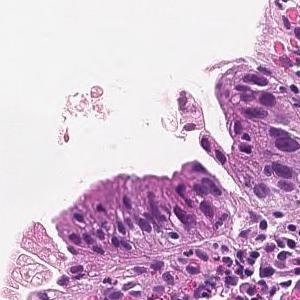
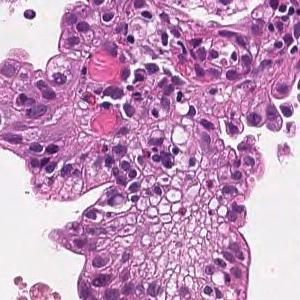
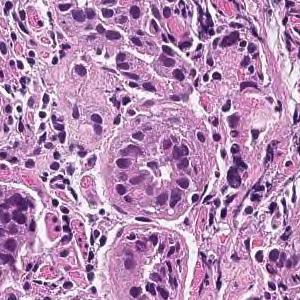
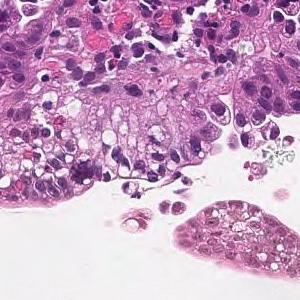
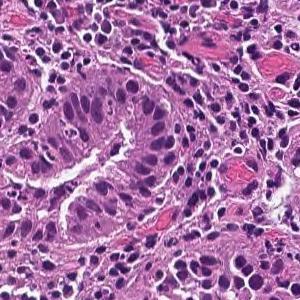
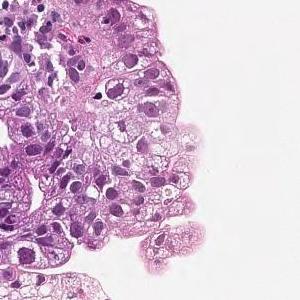
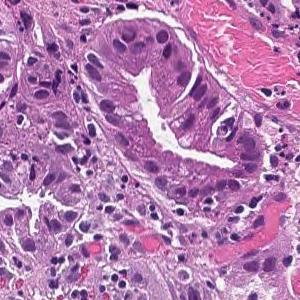
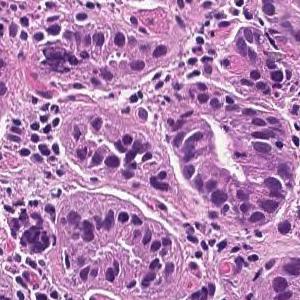
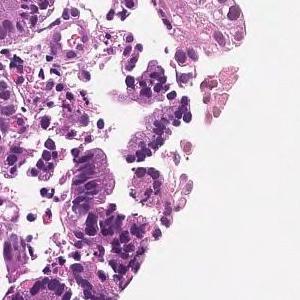
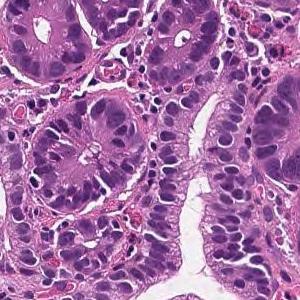
10 patches cut from one gastric biopsy slide · 300 × 300 pixels each · hematoxylin and eosin stain · ×20.
The pathologist's report on the biopsy slide these tiles were taken from. The report and the diagnosis describe the slide as a whole, so these tiles may not show every feature named and may include non-tumor tissue.
On the superficial epithelium, tumor tissue consisting of large irregular glandular ducts partially fused and infiltrated is observed. Well to moderately differentiated tubular adenocarcinoma (well differentiated tubular adenocarcinoma, moderately differentiated tubular adenocarcinoma)
Classified as well to moderately differentiated tubular adenocarcinoma.
